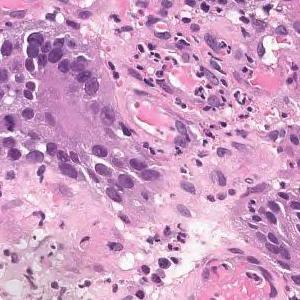
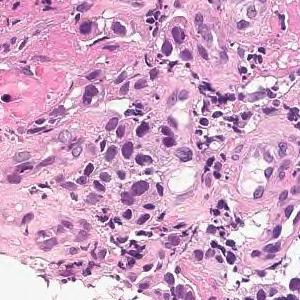
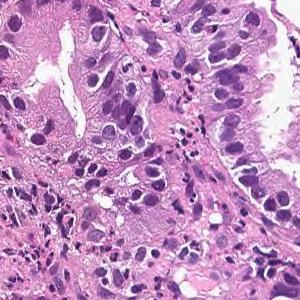
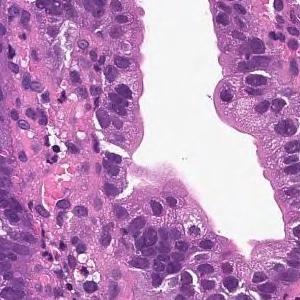
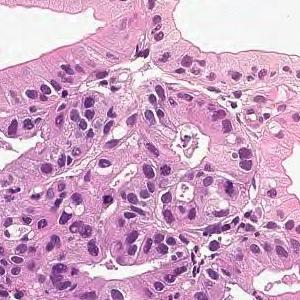
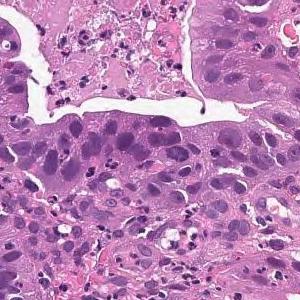
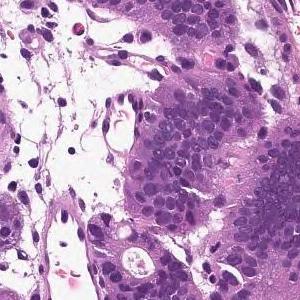
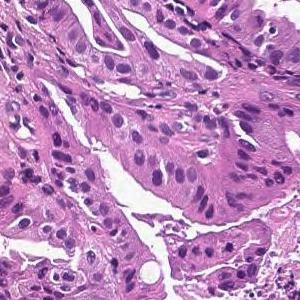
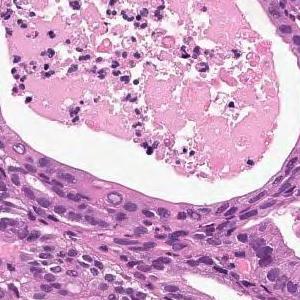
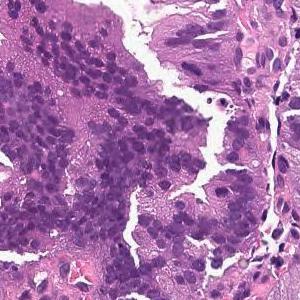
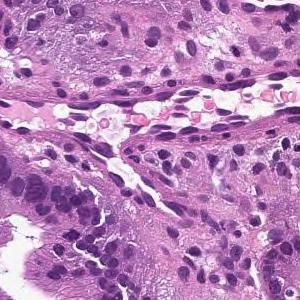
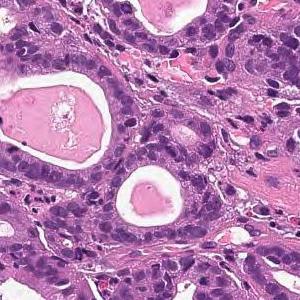
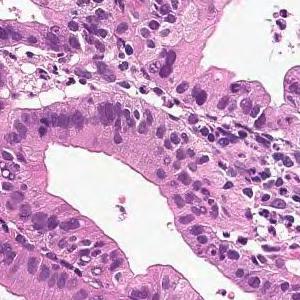
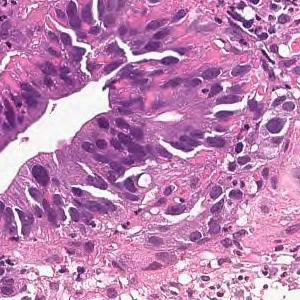
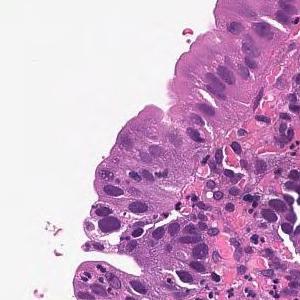
H&E stain; 20× magnification; 15 image tiles from a single gastric biopsy slide; 300×300 px each.
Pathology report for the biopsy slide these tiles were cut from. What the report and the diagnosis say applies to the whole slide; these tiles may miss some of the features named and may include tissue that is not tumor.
From the superficial epithelium to the muscularis mucosae, tumor tissue consisting of medium-sized and irregular glandular ducts infiltrating is observed. Well differentiated tubular adenocarcinoma
